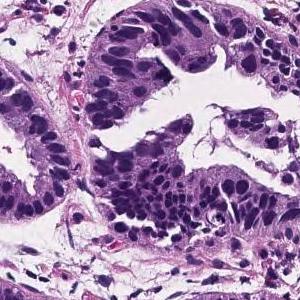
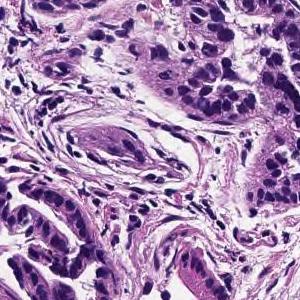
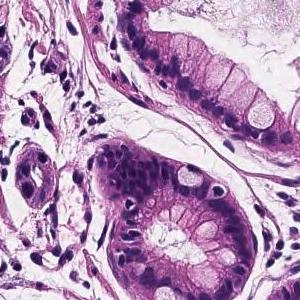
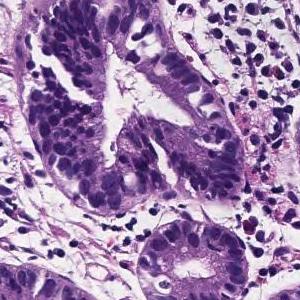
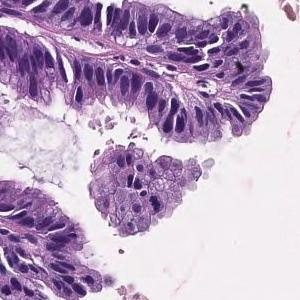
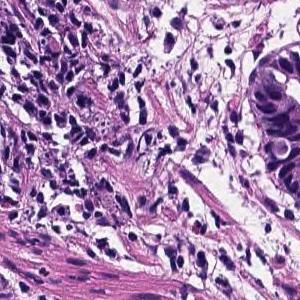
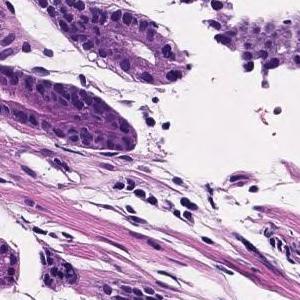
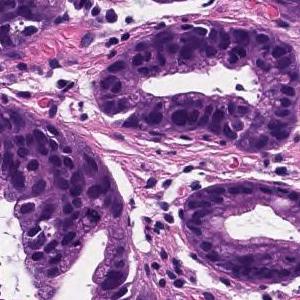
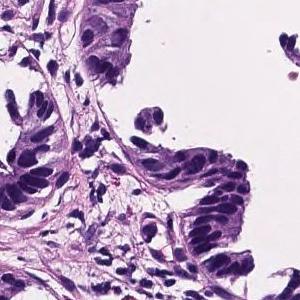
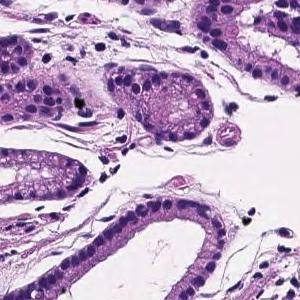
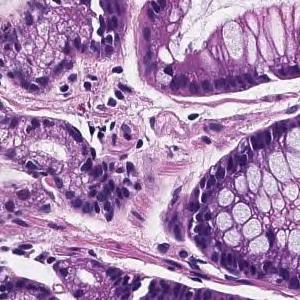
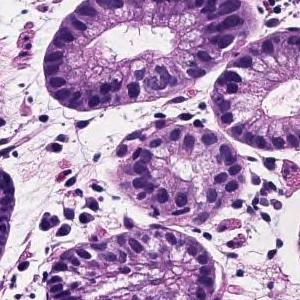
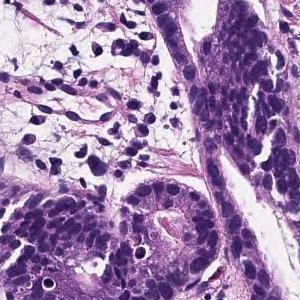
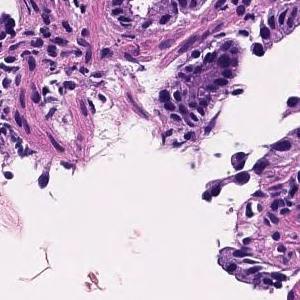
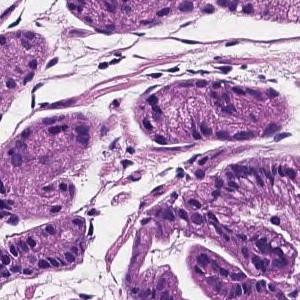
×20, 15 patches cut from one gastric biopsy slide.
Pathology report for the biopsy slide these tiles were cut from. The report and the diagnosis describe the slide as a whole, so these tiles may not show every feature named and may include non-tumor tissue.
Tumor cells are large, highly columnar, large club-shaped nuclei, and are associated with chromatin aggregation. Papillary adenocarcinoma.
